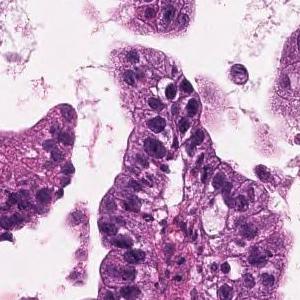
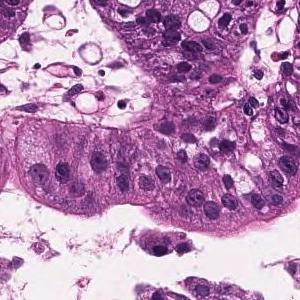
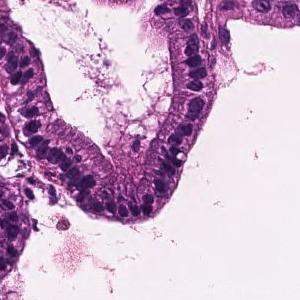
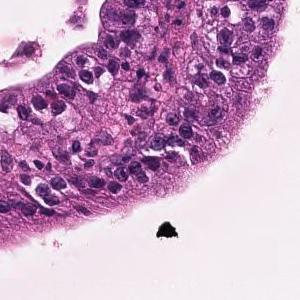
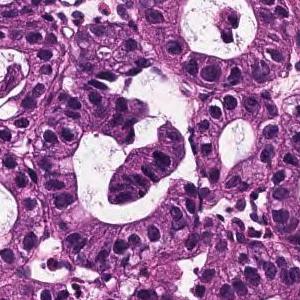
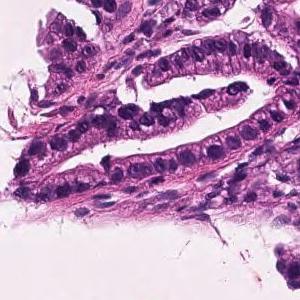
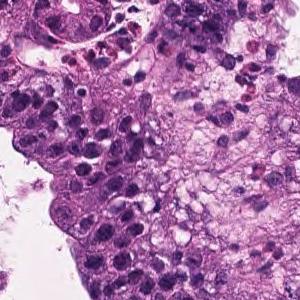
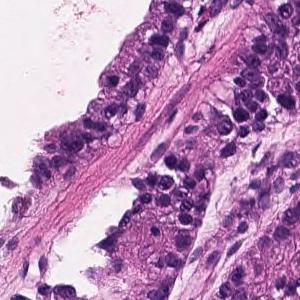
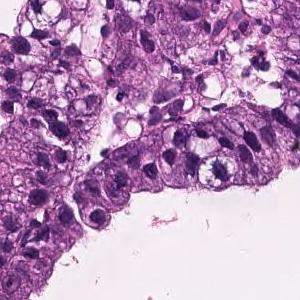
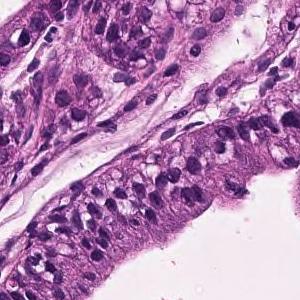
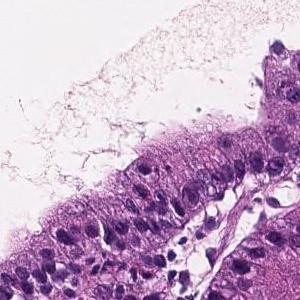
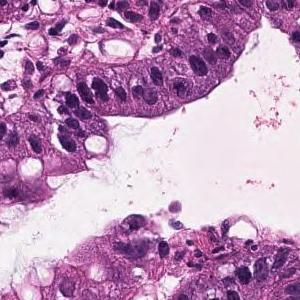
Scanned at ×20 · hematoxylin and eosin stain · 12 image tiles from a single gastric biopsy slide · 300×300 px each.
The pathologist's report on the biopsy slide these tiles were taken from. The report and the diagnosis cover the entire slide, so not every feature they name need be visible here, and some tissue shown may not be tumor.
On the superficial epithelium, tumor tissue that infiltrates by forming medium-sized papillary or small irregular ducts is observed. Papillary adenocarcinoma
